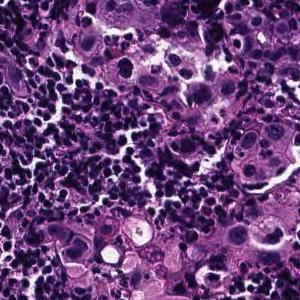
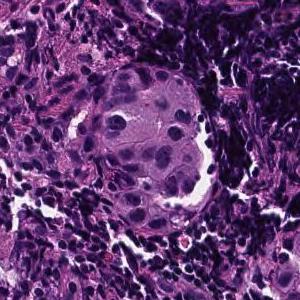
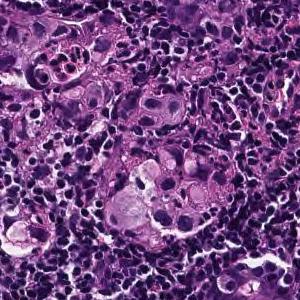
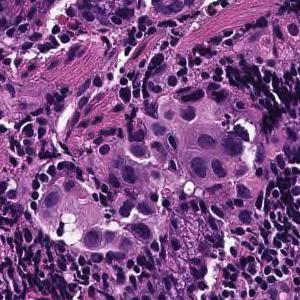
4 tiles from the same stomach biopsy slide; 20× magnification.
Pathology report for the biopsy slide these tiles were cut from. The findings and the diagnosis refer to the entire slide; these tiles show only part of it, possibly with non-tumor tissue, and may not show every feature named.
A small amount of infiltrating tumor tissue is observed in the lamina propria, showing a small cord-like shape. Poorly differentiated adenocarcinoma, non-solid type
"Non-solid type" is a category of the Japanese Classification of Gastric Carcinoma.
